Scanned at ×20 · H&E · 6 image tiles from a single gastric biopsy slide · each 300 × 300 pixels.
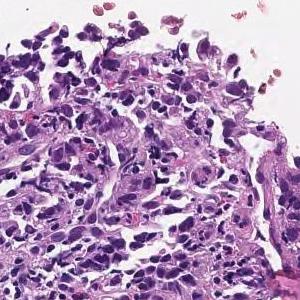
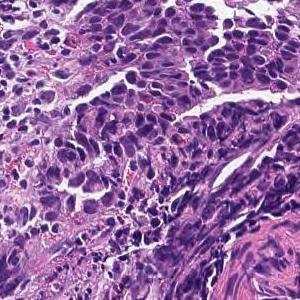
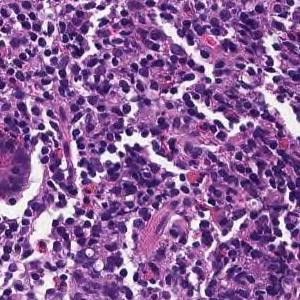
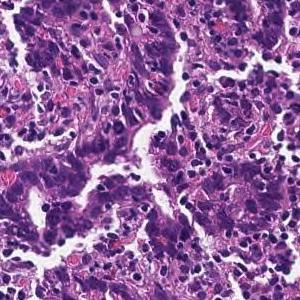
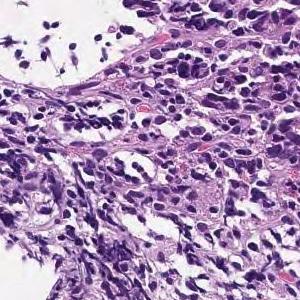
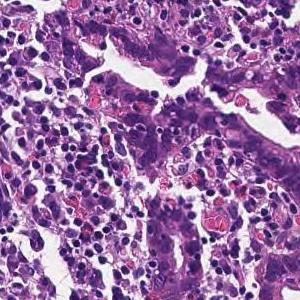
The pathologist's report on the biopsy slide these tiles were taken from. The report and the diagnosis describe the slide as a whole, so these tiles may not show every feature named and may include non-tumor tissue.
Tumor tissue consisting of medium-sized, cord-like or irregular glandular infiltration is observed in the superficial epithelium. Poorly differentiated adenocarcinoma, non-solid type or moderately differentiated tubular adenocarcinoma
Classified as moderately to poorly differentiated adenocarcinoma.
The term "non-solid type" comes from the Japanese Classification of Gastric Carcinoma.
